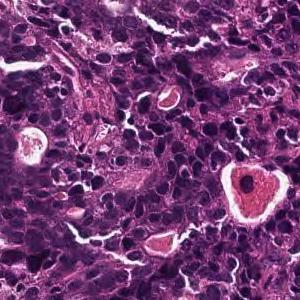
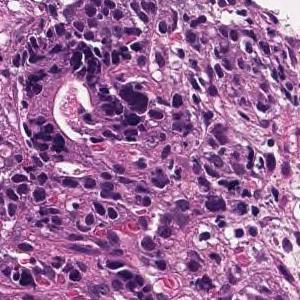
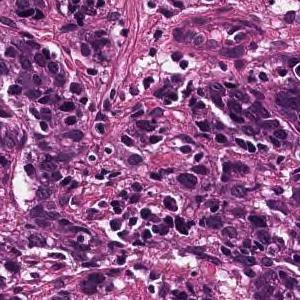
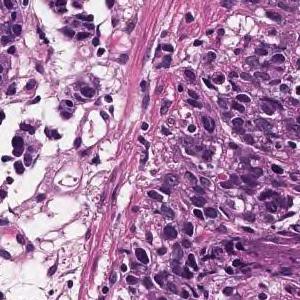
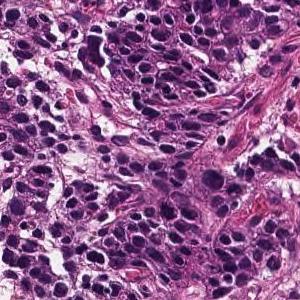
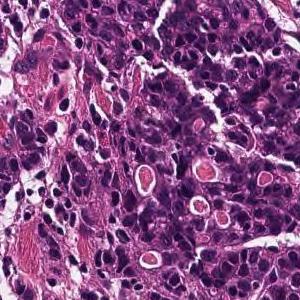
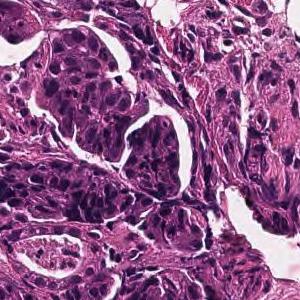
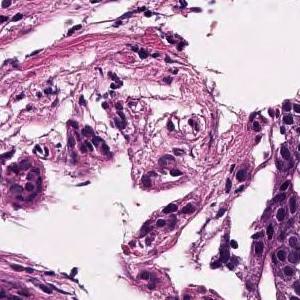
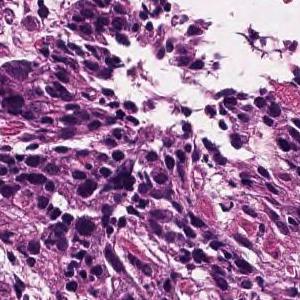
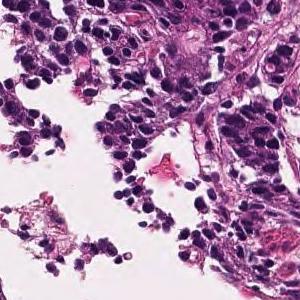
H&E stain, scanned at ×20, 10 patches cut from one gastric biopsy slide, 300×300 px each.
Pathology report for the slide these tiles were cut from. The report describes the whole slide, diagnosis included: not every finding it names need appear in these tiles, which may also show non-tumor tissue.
Medium to small, irregular glandular ducts are formed in the superficial epithelium, and in some cases, the glandular ducts are fused to show solid alveolar lesions and infiltrating tumor tissue is observed. Moderately to poorly differentiated adenocarcinoma.
